12 patches cut from one gastric biopsy slide; 300×300 px each; ×20.
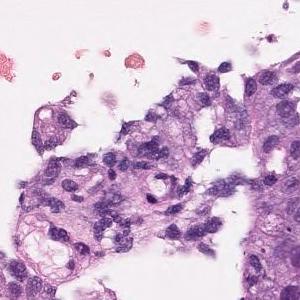
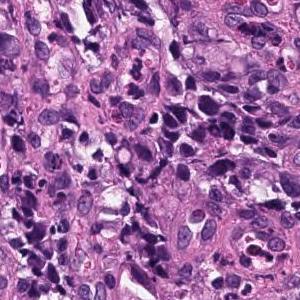
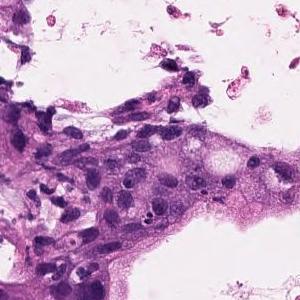
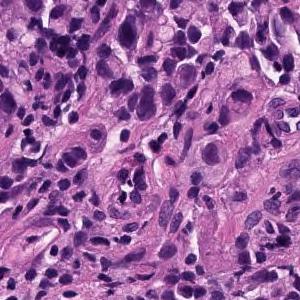
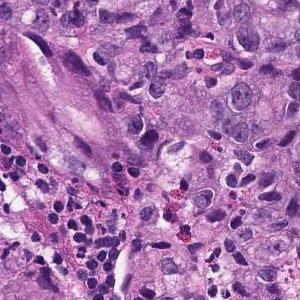
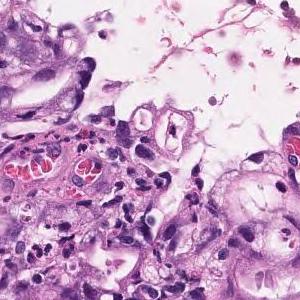
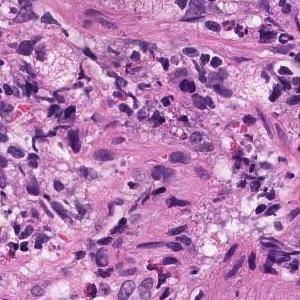
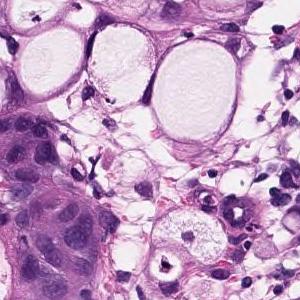
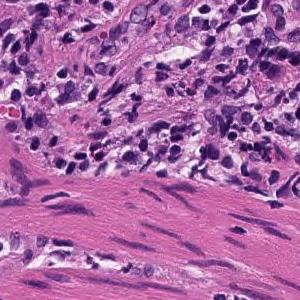
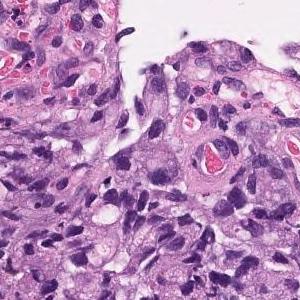
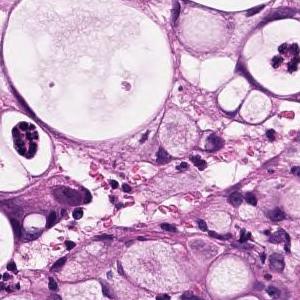
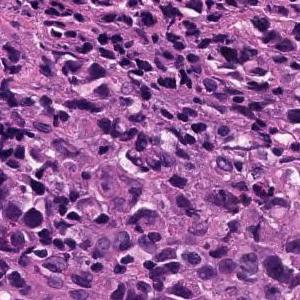
Diagnostic report for the slide these tiles come from. The findings and the diagnosis refer to the entire slide; these tiles show only part of it, possibly with non-tumor tissue, and may not show every feature named.
Atypical epithelium forms irregularly fused gland ducts and proliferates. Poorly differentiated adenocarcinoma.
Tumor subtype: poorly differentiated adenocarcinoma, non-solid type.
The non-solid type named here is a Japanese Classification of Gastric Carcinoma category.
